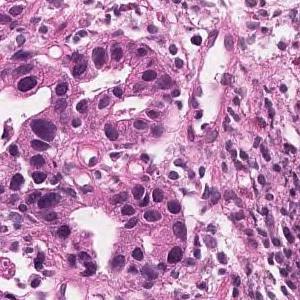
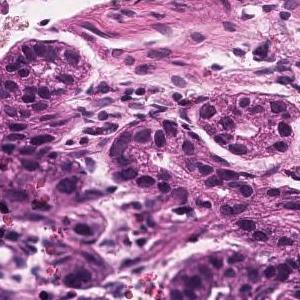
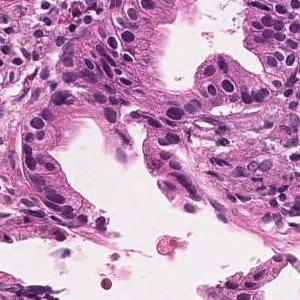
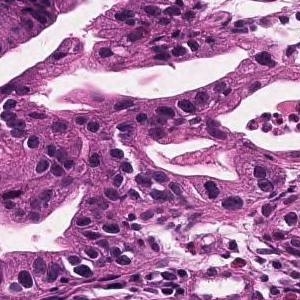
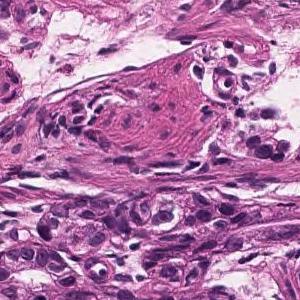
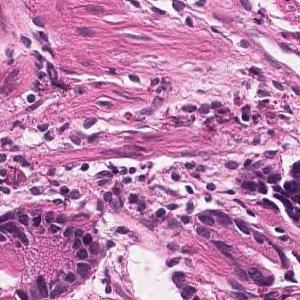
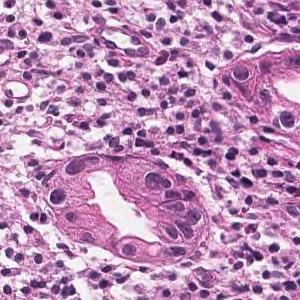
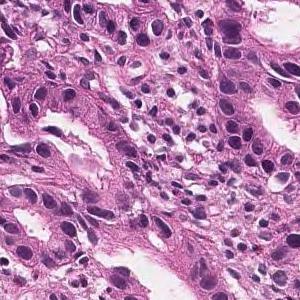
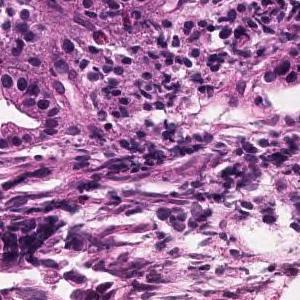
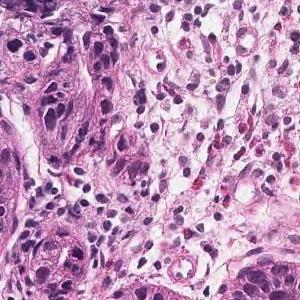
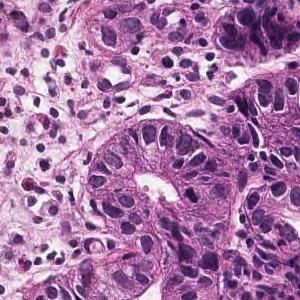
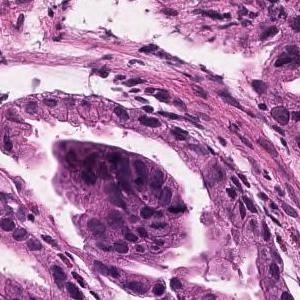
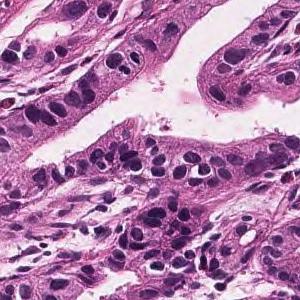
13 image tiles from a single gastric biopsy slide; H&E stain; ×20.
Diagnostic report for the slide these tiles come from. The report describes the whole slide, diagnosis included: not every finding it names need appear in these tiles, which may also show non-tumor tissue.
Tumor tissue consisting of medium-sized and irregular ducts is observed infiltrating in the superficial epithelium. Tumor cells are highly columnar, with nuclei aligned basolaterally and polarized. Well differentiated tubular adenocarcinoma.
